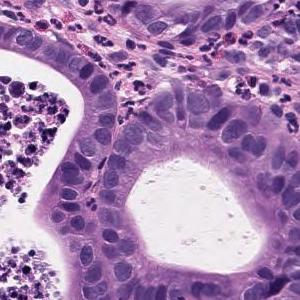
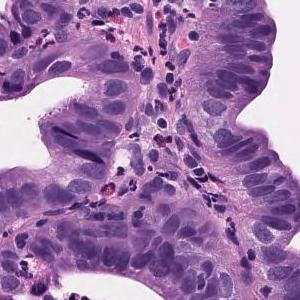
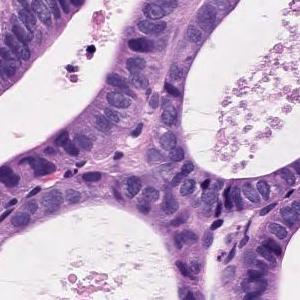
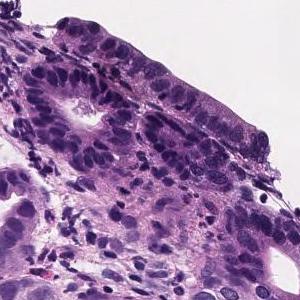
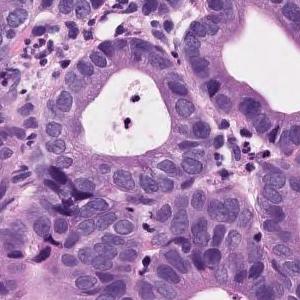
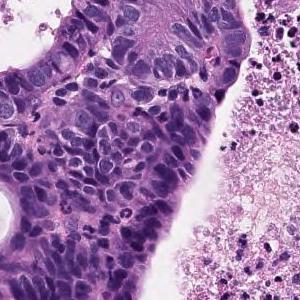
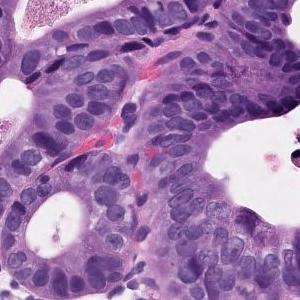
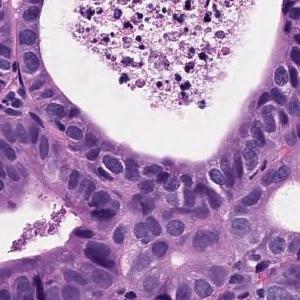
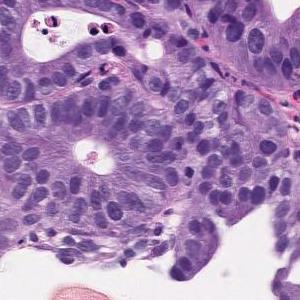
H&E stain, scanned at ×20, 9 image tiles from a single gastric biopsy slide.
Pathology report for the biopsy slide these tiles were cut from. The findings and the diagnosis refer to the entire slide; these tiles show only part of it, possibly with non-tumor tissue, and may not show every feature named.
Tumor tissue consisting of proliferative medium to large, round or irregular glandular ducts in the superficial epithelium. Well differentiated adenocarcinoma.
Histologic type: Well differentiated tubular adenocarcinoma.
